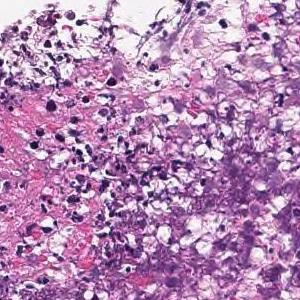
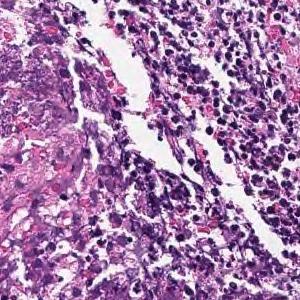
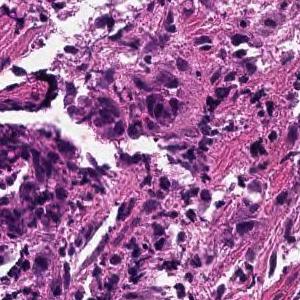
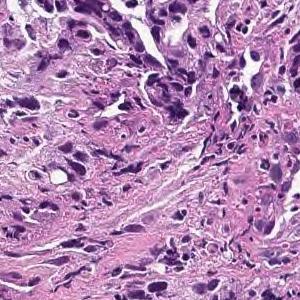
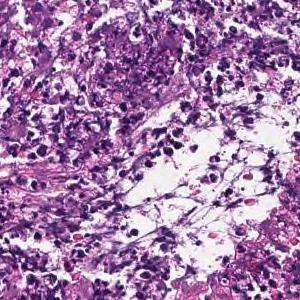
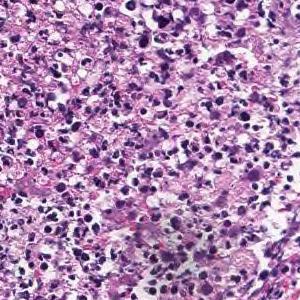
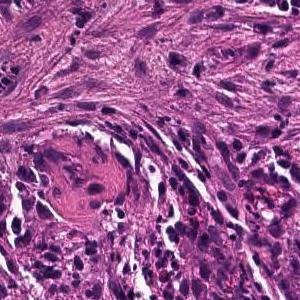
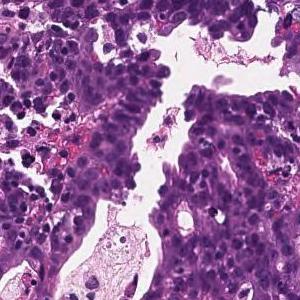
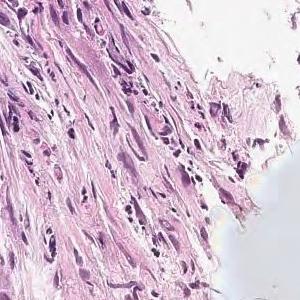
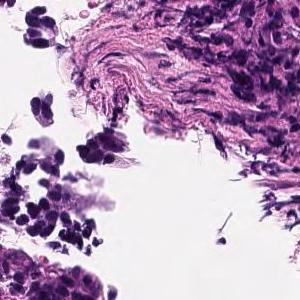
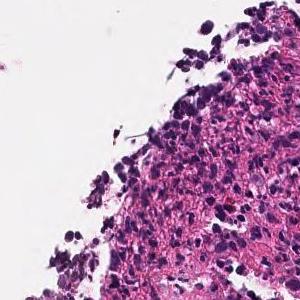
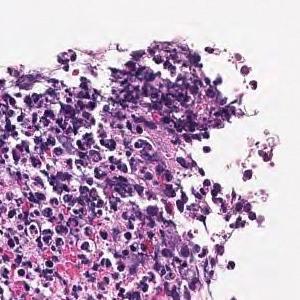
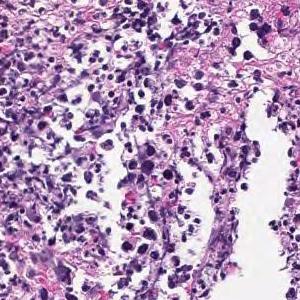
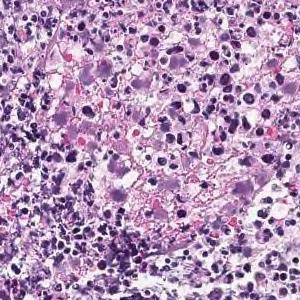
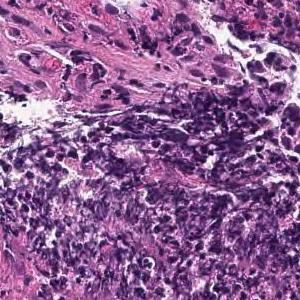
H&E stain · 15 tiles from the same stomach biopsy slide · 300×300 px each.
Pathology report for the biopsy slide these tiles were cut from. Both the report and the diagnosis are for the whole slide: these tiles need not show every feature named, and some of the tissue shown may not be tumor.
In the superficial epithelium, tumor tissue that invades by forming medium-sized to small, irregular ducts is observed. moderately differentiated tubular adenocarcinoma.
